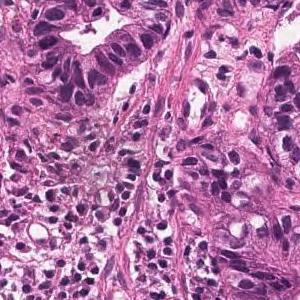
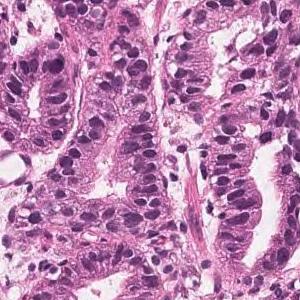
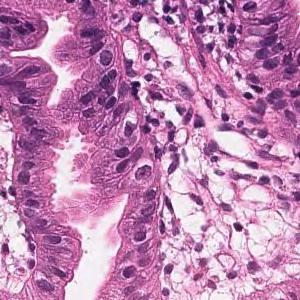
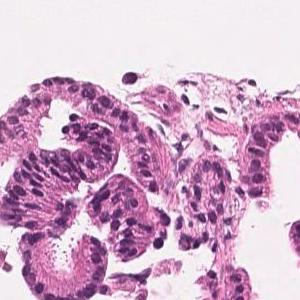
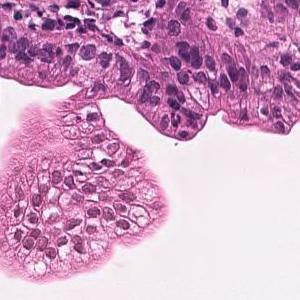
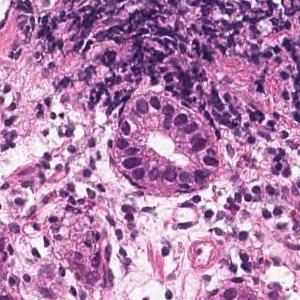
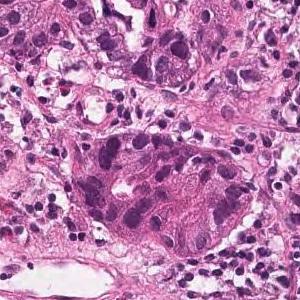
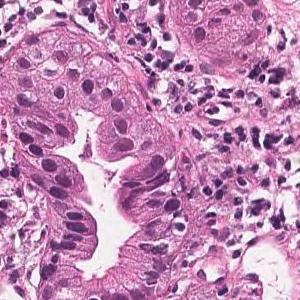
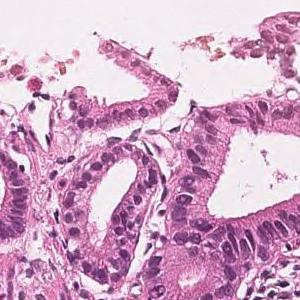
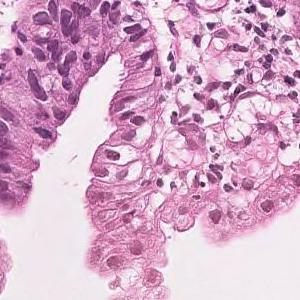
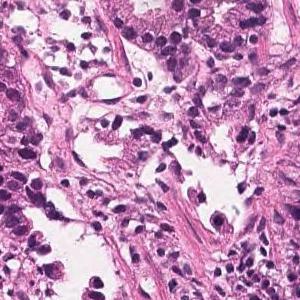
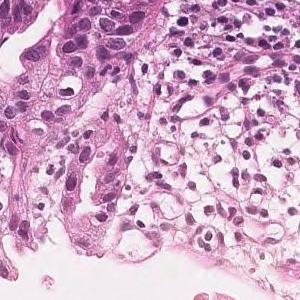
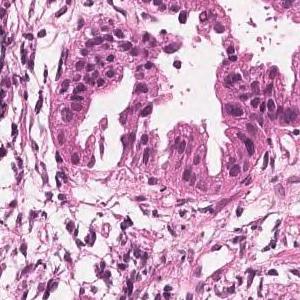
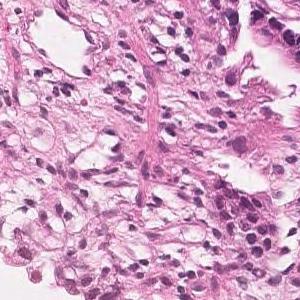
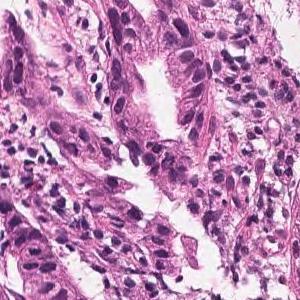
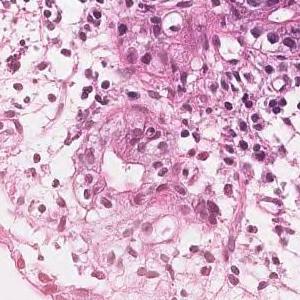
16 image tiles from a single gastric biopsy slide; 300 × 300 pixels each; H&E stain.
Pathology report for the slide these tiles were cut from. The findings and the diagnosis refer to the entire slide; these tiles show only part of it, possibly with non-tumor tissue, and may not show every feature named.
Tumor tissue consisting of medium-sized and irregular ducts is observed infiltrating in the superficial epithelium. Tumor cells are highly columnar, with nuclei aligned basolaterally and polarized. Well differentiated tubular adenocarcinoma.
